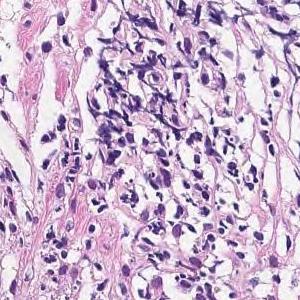
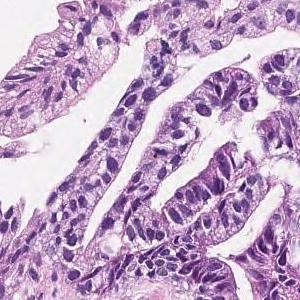
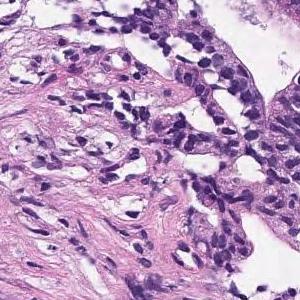
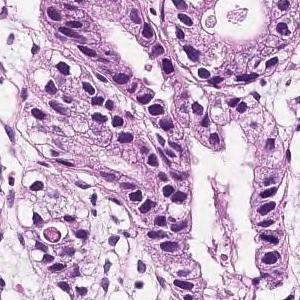
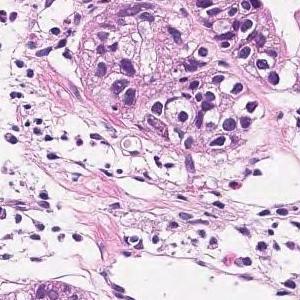
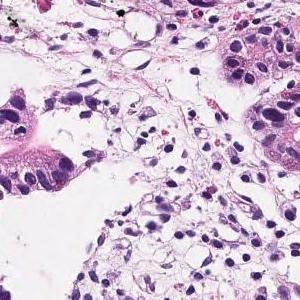
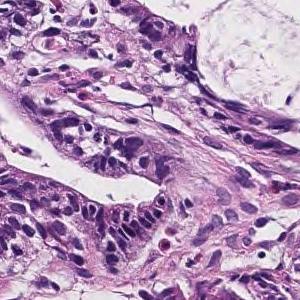
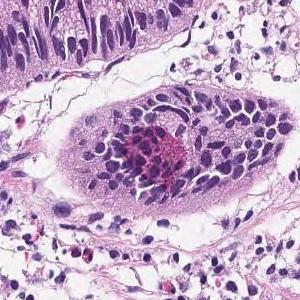
×20; 8 patches cut from one gastric biopsy slide; each 300 × 300 pixels.
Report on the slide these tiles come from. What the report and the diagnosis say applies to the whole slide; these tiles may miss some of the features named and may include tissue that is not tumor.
In the superficial epithelium, tumor tissue that invades by forming medium-sized to small, irregular ducts is observed. Moderately differentiated adenocarcinoma.
Classified as moderately differentiated tubular adenocarcinoma.
